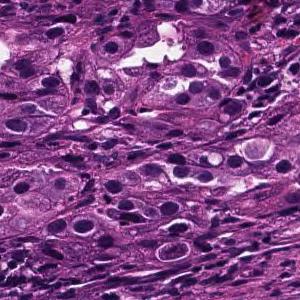
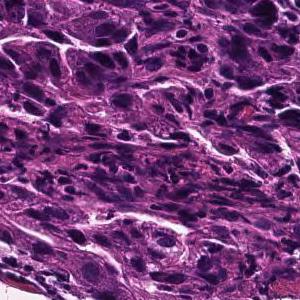
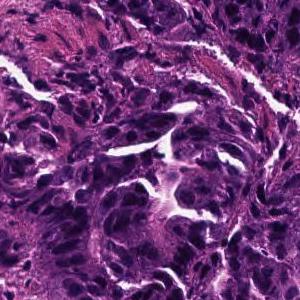
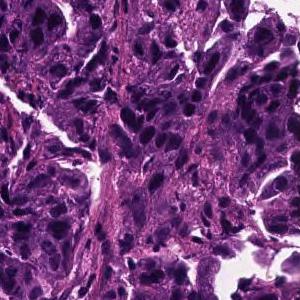
H&E stain; ×20; 4 patches cut from one gastric biopsy slide; each 300 × 300 pixels.
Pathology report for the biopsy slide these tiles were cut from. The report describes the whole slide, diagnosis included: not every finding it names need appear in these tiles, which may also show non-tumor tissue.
Tumor tissue consisting of medium-sized, cord-like or irregular glandular fusion and infiltration is observed in the superficial epithelium. Poorly differentiated adenocarcinoma, non-solid type or moderately differentiated tubular adenocarcinoma
Classified as moderately to poorly differentiated adenocarcinoma.
"Non-solid type" is a category of the Japanese Classification of Gastric Carcinoma.
